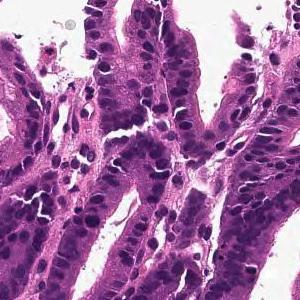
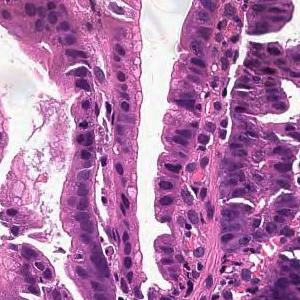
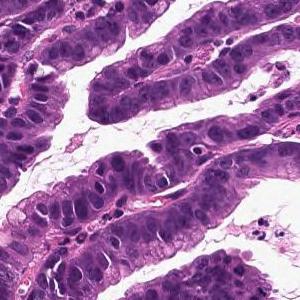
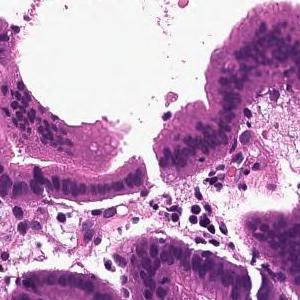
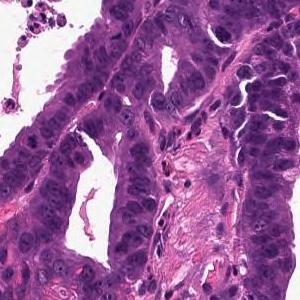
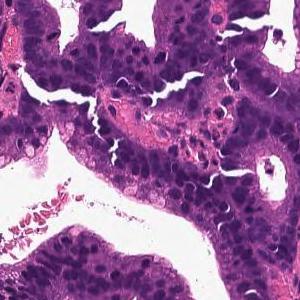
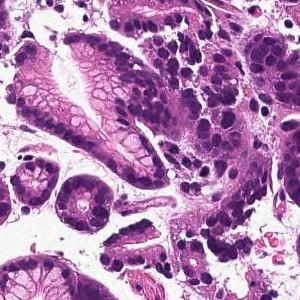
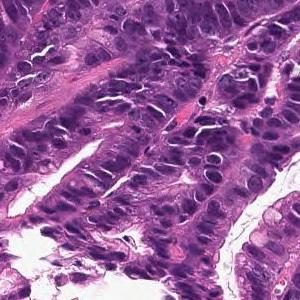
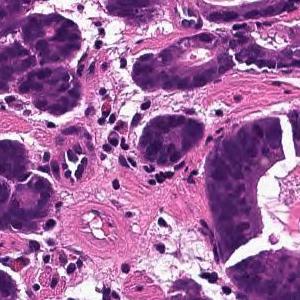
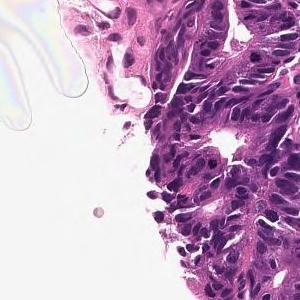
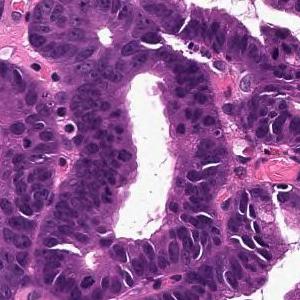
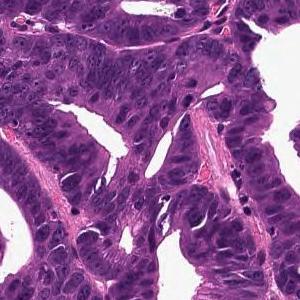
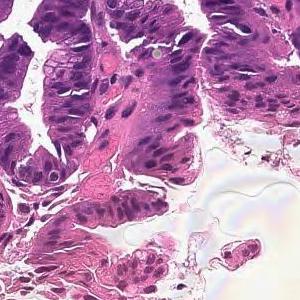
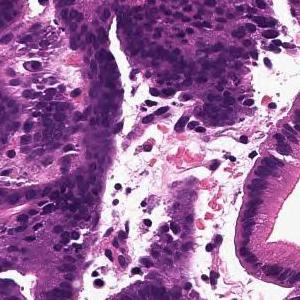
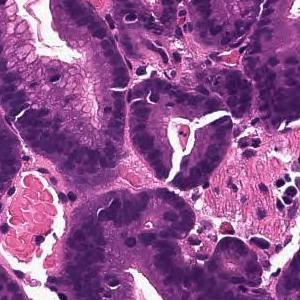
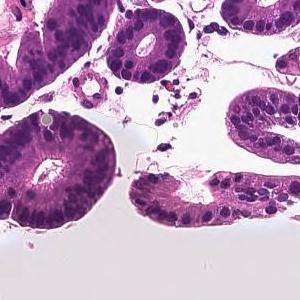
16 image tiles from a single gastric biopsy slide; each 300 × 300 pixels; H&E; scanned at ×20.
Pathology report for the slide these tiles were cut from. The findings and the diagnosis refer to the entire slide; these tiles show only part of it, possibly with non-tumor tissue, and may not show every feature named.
From the superficial epithelium to the muscularis mucosae, tumor tissue consisting of medium-sized and irregular glandular ducts infiltrating is observed. Well differentiated tubular adenocarcinoma
